15 tiles cut from one stomach biopsy slide; 300 × 300 pixels each; H&E stain; 20× magnification.
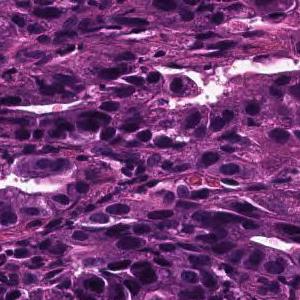
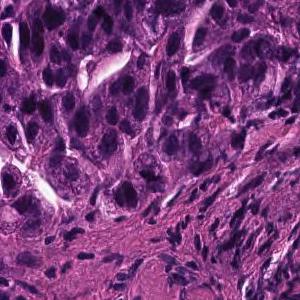
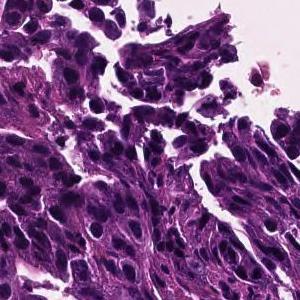
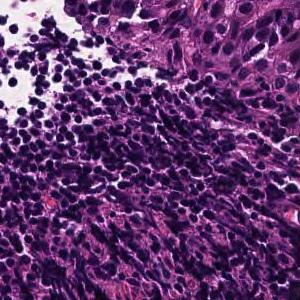
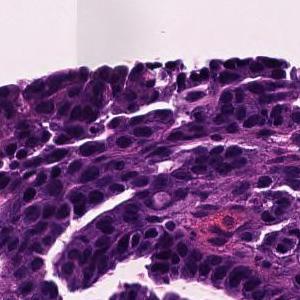
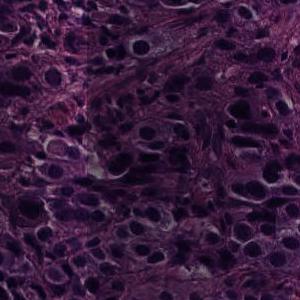
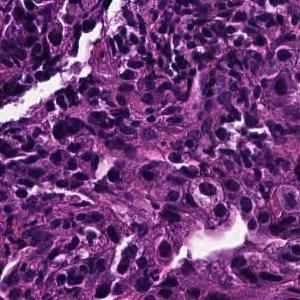
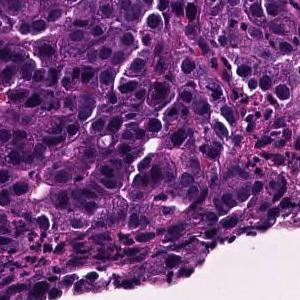
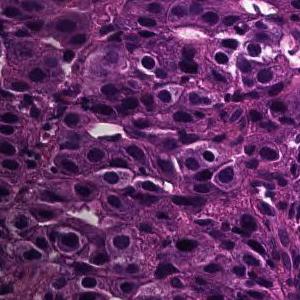
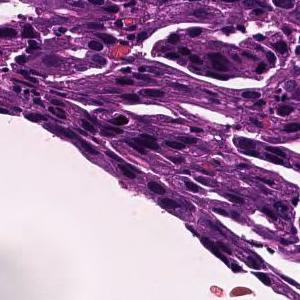
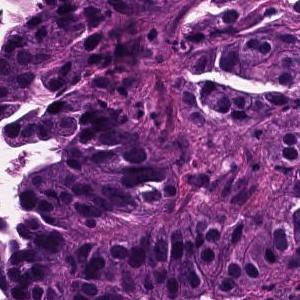
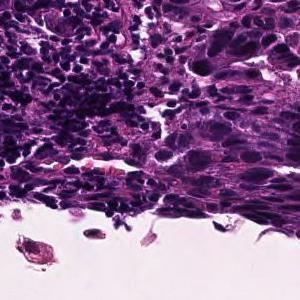
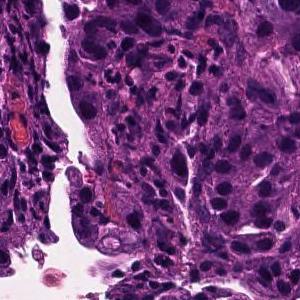
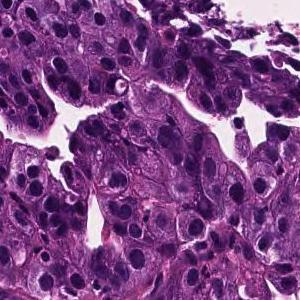
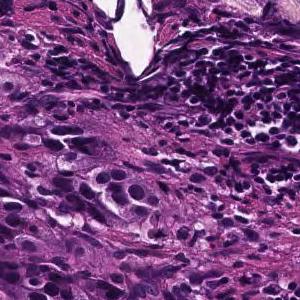
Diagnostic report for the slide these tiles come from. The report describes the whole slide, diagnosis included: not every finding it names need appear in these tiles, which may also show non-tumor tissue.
Tumor tissue consisting of medium-sized, cord-like or irregular glandular fusion and infiltration is observed in the superficial epithelium. Poorly differentiated adenocarcinoma, non-solid type or moderately differentiated tubular adenocarcinoma
Classified as moderately to poorly differentiated adenocarcinoma.
"Non-solid type" is a category of the Japanese Classification of Gastric Carcinoma.
